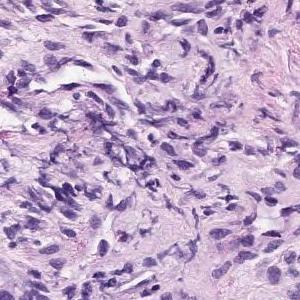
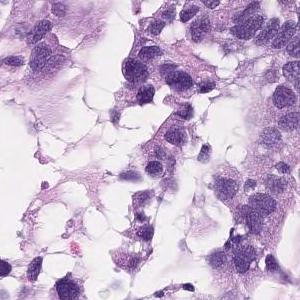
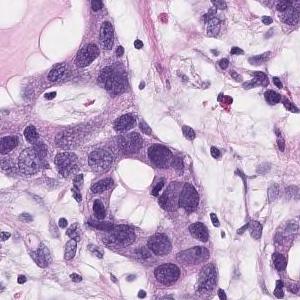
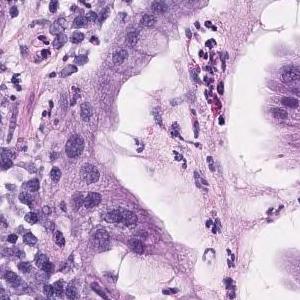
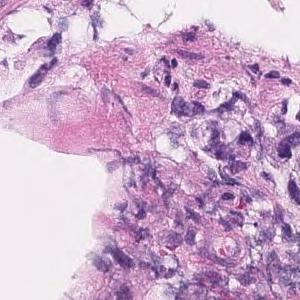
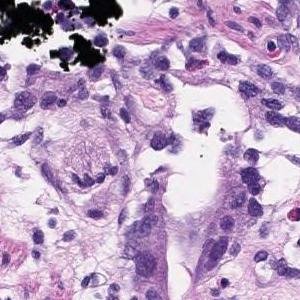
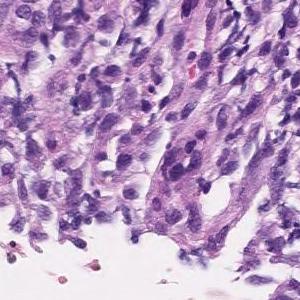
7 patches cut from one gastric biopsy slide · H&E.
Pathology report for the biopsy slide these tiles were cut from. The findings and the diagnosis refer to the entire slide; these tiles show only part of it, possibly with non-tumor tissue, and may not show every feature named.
Group 5, Adenocarcinoma. Moderately to poorly differentiated adenocarcinoma
